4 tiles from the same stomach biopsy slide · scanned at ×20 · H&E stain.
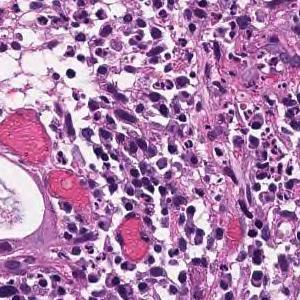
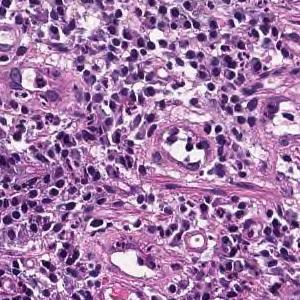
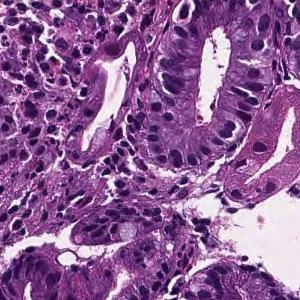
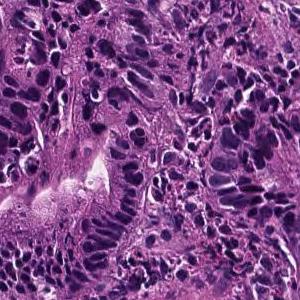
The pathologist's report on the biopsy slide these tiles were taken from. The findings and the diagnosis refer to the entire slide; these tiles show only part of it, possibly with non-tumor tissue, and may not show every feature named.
On the superficial epithelium, tumor tissue consisting of large, irregular glandular ducts partially fused and infiltrated is observed. Well to moderately differentiated tubular adenocarcinoma (well differentiated tubular adenocarcinoma, moderately differentiated tubular adenocarcinoma)
Histologic type: Well to moderately differentiated tubular adenocarcinoma.
